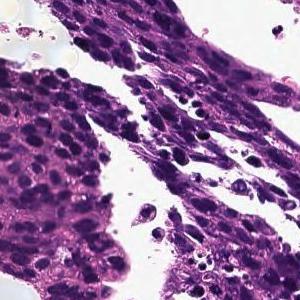
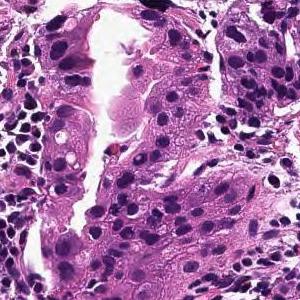
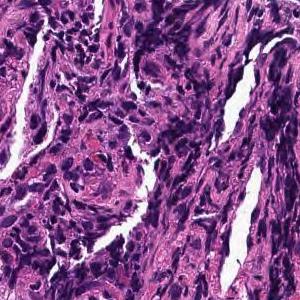
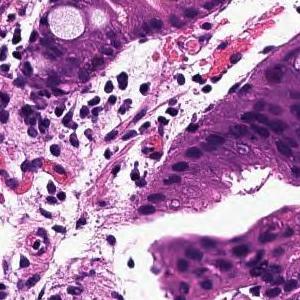
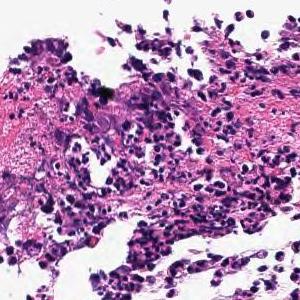
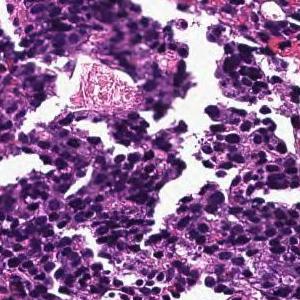
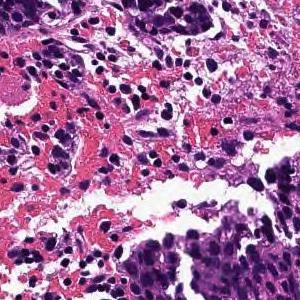
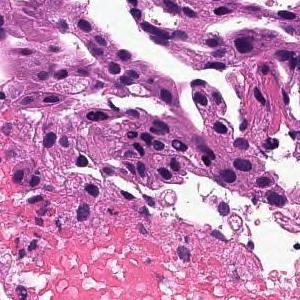
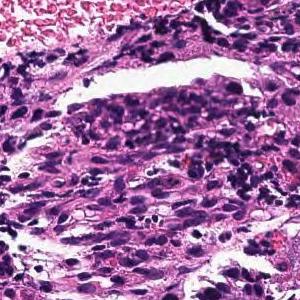
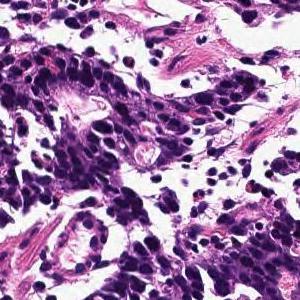
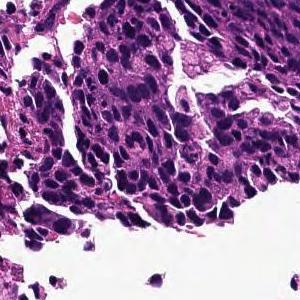
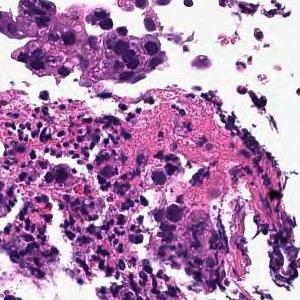
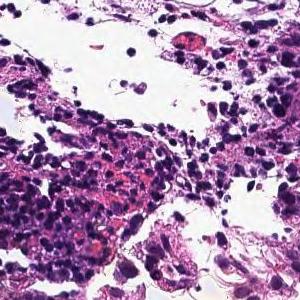
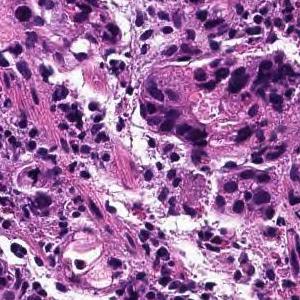
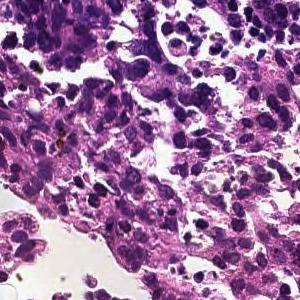
15 image tiles from a single gastric biopsy slide; each 300 × 300 pixels; ×20; H&E.
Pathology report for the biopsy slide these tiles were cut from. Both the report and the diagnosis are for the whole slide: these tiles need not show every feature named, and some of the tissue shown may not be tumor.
In the superficial epithelium, tumor tissue that invades by forming medium-sized to small, irregular ducts is observed. moderately differentiated tubular adenocarcinoma.
